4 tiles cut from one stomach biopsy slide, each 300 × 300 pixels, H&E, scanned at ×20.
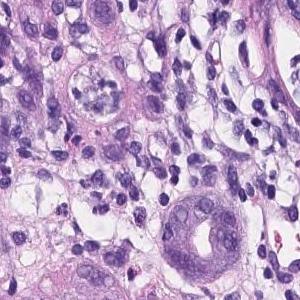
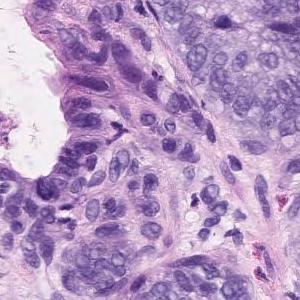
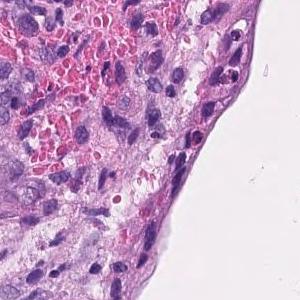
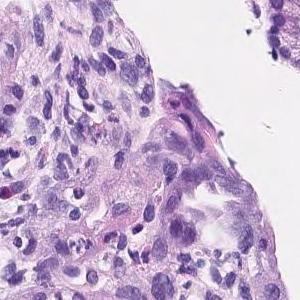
Pathology report for the biopsy slide these tiles were cut from. The report describes the whole slide, diagnosis included: not every finding it names need appear in these tiles, which may also show non-tumor tissue.
Irregularly fused atypical ducts proliferating while replacing existing ducts was observed. moderately differentiated tubular adenocarcinoma
